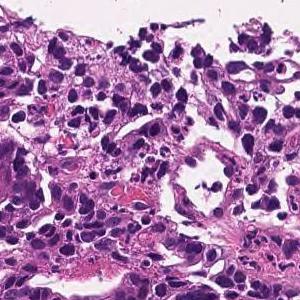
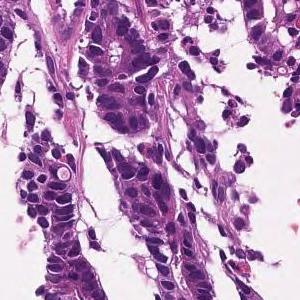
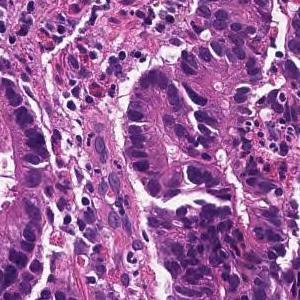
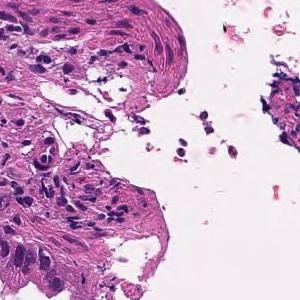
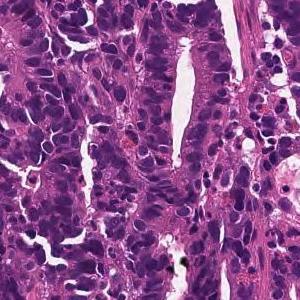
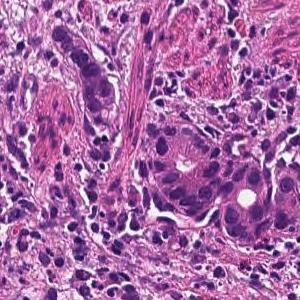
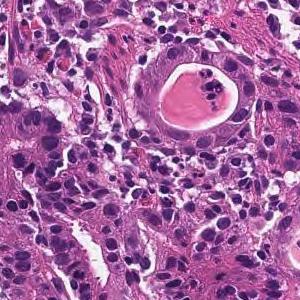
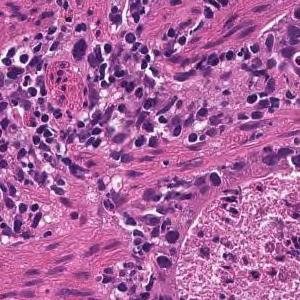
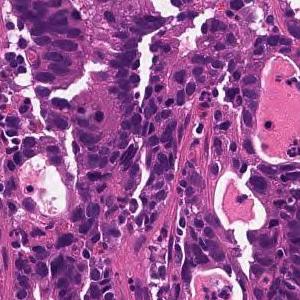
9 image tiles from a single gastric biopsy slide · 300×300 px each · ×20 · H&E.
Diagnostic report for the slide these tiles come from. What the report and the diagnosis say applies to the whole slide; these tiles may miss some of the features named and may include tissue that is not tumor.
In the superficial epithelium, tumor tissue that invades by forming medium-sized to small, irregular ducts is observed. moderately differentiated tubular adenocarcinoma.
